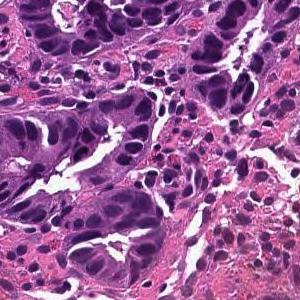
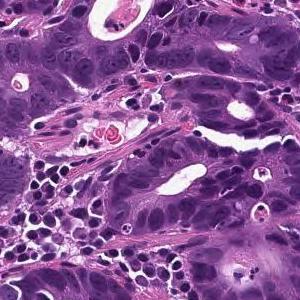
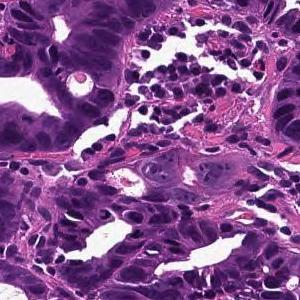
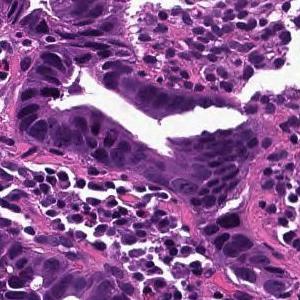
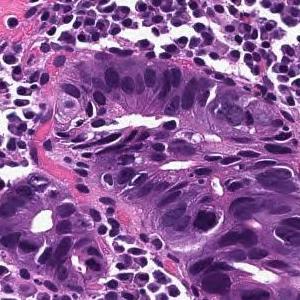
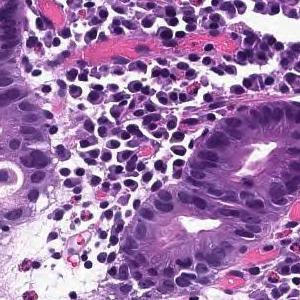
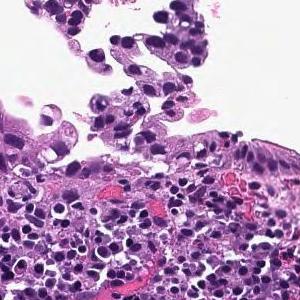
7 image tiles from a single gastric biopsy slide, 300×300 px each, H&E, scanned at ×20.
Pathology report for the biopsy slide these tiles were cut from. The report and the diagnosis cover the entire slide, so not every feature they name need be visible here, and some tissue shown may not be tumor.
From the superficial epithelium to the muscularis mucosae, tumor tissue consisting of medium-sized and irregular glandular ducts infiltrating is observed. Well differentiated tubular adenocarcinoma
